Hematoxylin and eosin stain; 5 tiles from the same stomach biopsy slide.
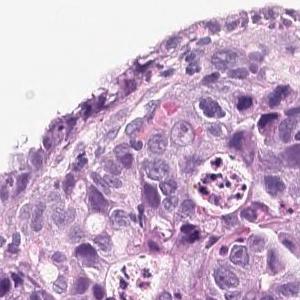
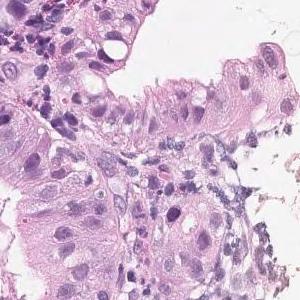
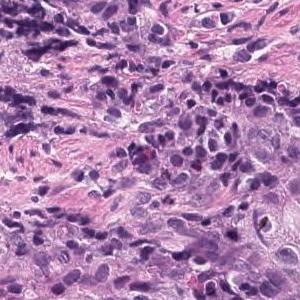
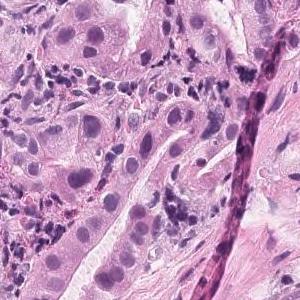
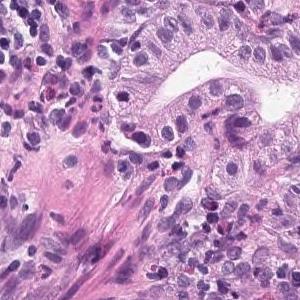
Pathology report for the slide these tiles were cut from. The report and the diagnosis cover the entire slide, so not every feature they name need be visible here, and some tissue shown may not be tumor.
On the superficial epithelium, tumor tissue consisting of medium-sized to large-sized, irregular tubules partially fused and densely proliferating is observed. moderately differentiated tubular adenocarcinoma
